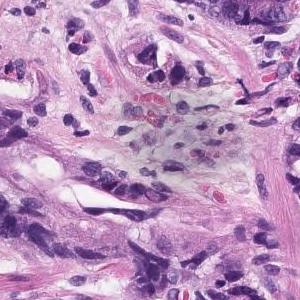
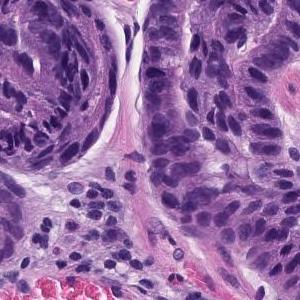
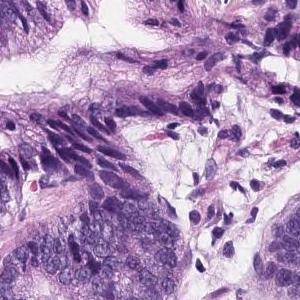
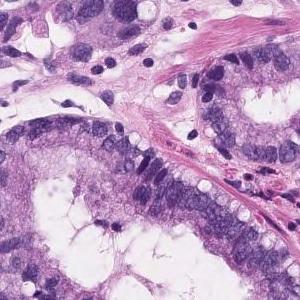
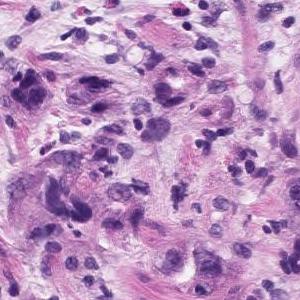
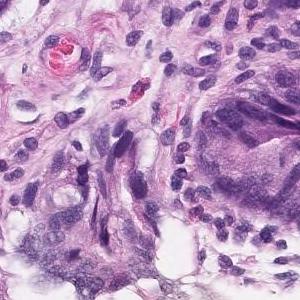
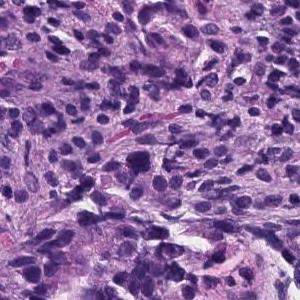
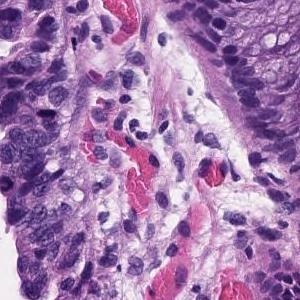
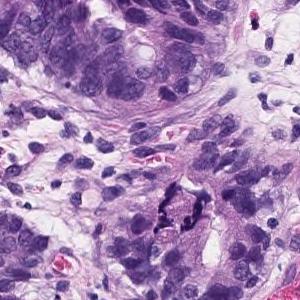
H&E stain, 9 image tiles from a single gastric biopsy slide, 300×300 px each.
Diagnostic report for the slide these tiles come from. The findings and the diagnosis refer to the entire slide; these tiles show only part of it, possibly with non-tumor tissue, and may not show every feature named.
In the superficial epithelium, tumor tissue that invades by forming medium-sized to small, irregular ducts is observed. Moderately differentiated adenocarcinoma.
Subtype: Moderately differentiated tubular adenocarcinoma.
